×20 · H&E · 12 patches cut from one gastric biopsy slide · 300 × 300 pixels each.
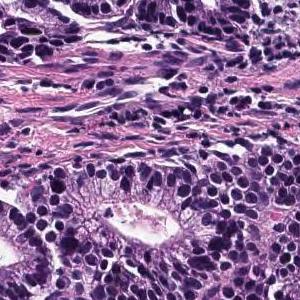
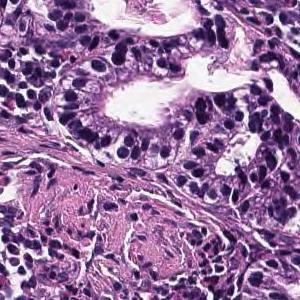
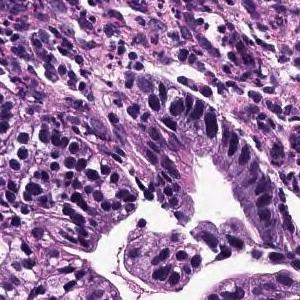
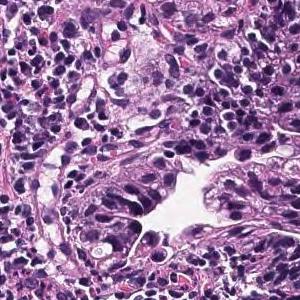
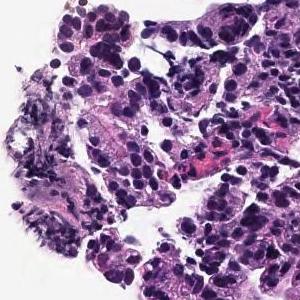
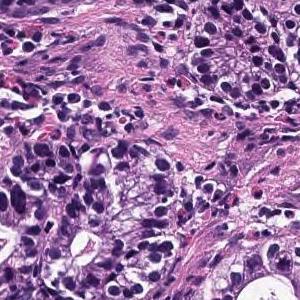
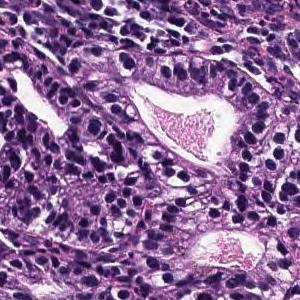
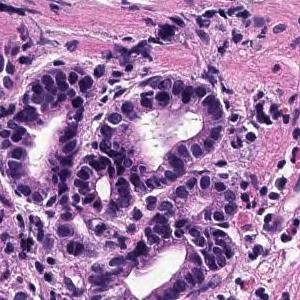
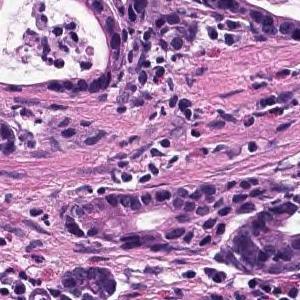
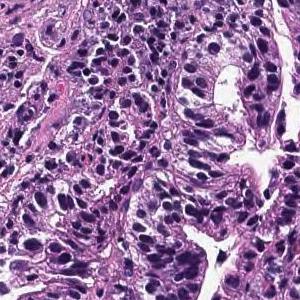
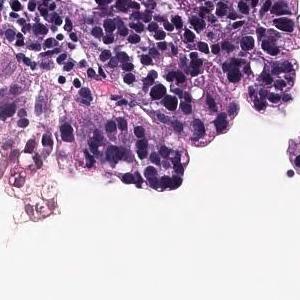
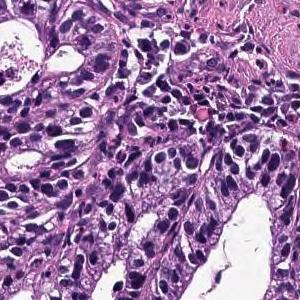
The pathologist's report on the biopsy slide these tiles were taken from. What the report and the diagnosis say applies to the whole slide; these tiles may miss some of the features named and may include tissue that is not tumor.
Neoplastic cells with atypical nuclei of different sizes exhibit tubular glands and infiltrate and proliferate. Moderately differentiated tubular adenocarcinoma.
